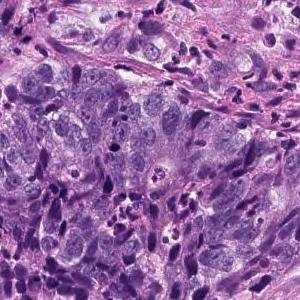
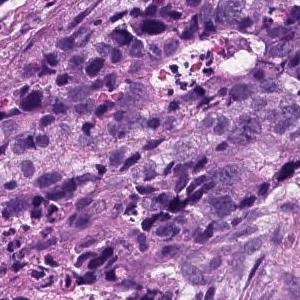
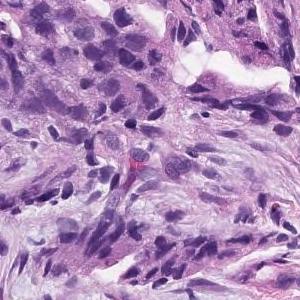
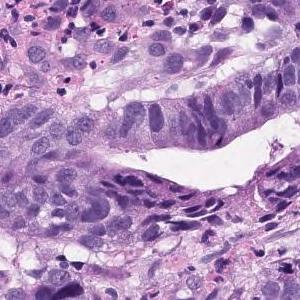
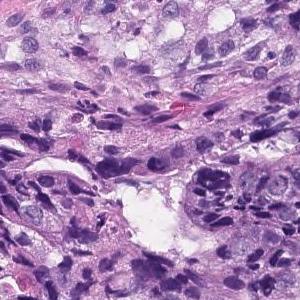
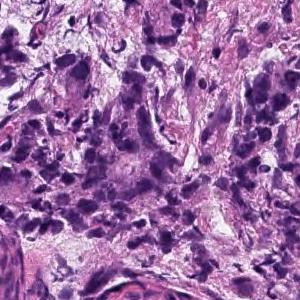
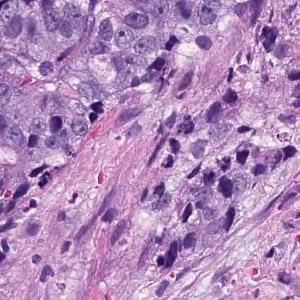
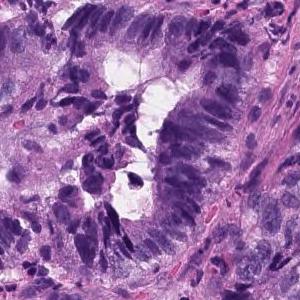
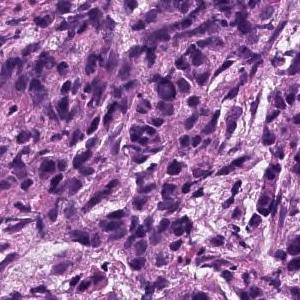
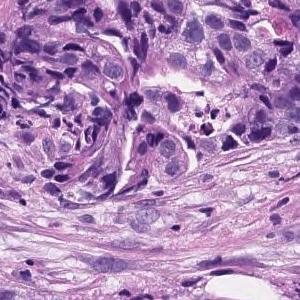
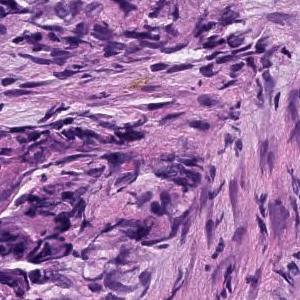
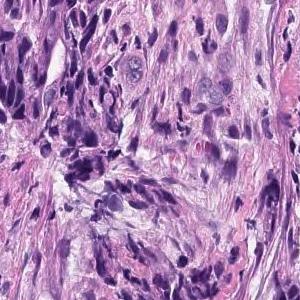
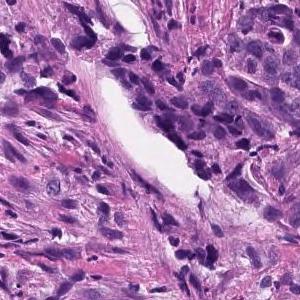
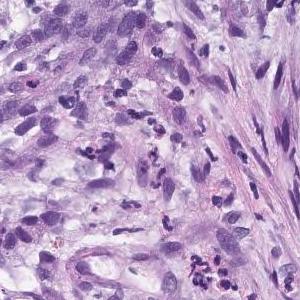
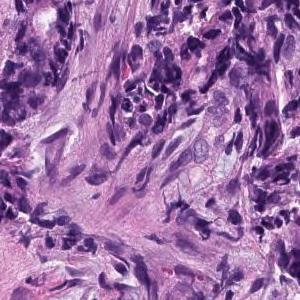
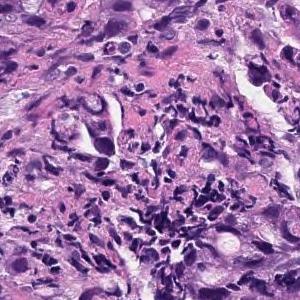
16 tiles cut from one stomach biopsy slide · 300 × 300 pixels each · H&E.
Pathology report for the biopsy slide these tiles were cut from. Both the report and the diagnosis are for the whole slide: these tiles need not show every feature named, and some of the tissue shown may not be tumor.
Medium to small, irregular glandular ducts are formed in the superficial epithelium, and in some cases, the glandular ducts are fused to show solid alveolar lesions and infiltrating tumor tissue is observed. Moderately to poorly differentiated adenocarcinoma.
